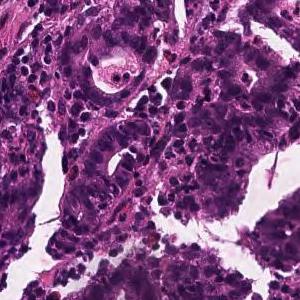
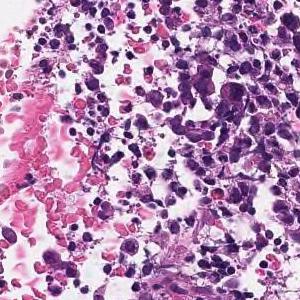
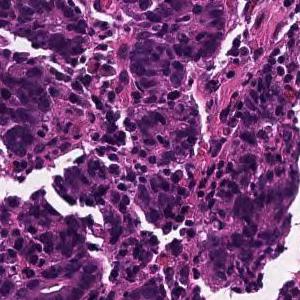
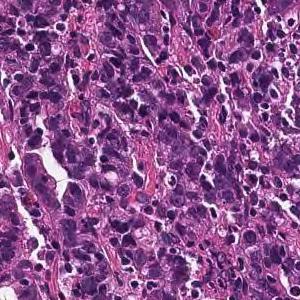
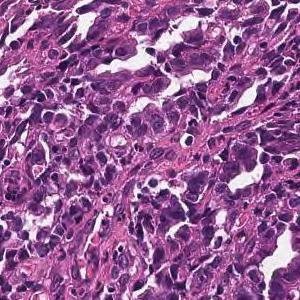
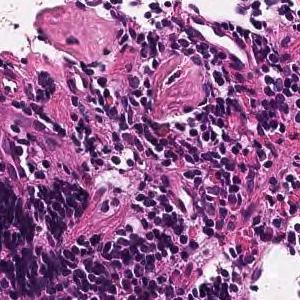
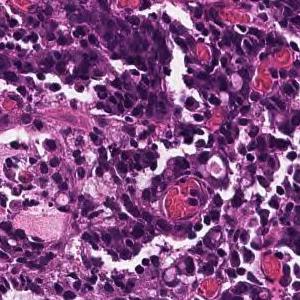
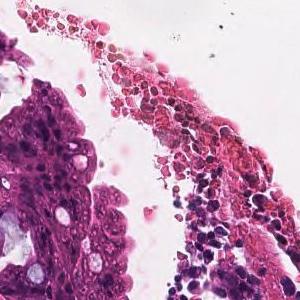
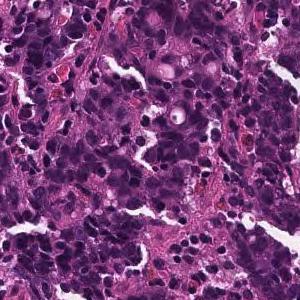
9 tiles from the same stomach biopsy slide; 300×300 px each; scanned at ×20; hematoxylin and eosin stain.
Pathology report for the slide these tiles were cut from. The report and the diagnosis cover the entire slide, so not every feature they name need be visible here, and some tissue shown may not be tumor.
In the superficial epithelium, tumor tissue that invades by forming medium-sized to small, irregular ducts is observed. moderately differentiated tubular adenocarcinoma.
